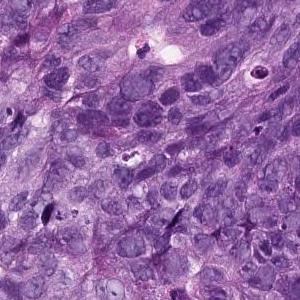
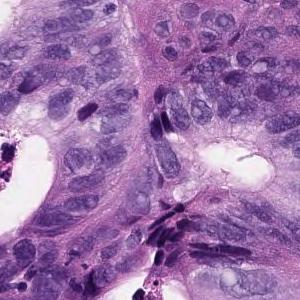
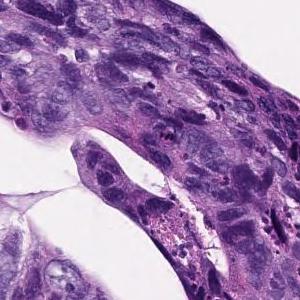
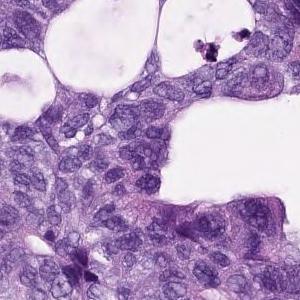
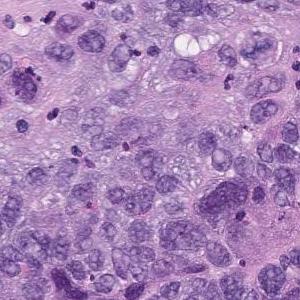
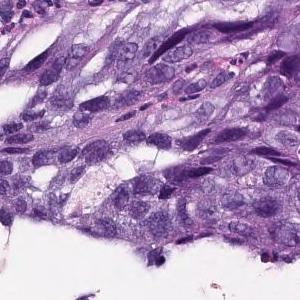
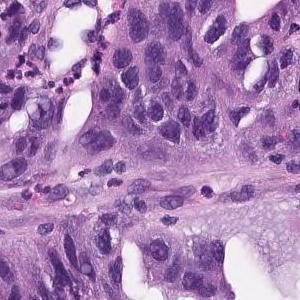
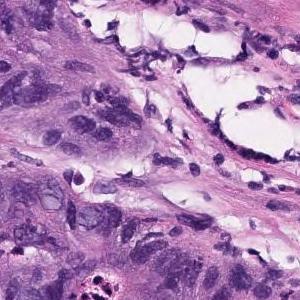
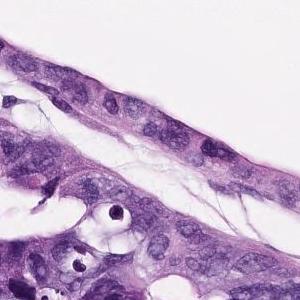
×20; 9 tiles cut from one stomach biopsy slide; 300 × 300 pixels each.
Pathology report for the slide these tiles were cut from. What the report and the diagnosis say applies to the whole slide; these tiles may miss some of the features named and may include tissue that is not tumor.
In the superficial epithelium, tumor tissue that invades by forming medium-sized to small, irregular ducts is observed. Moderately differentiated adenocarcinoma.
Histologic type: Moderately differentiated tubular adenocarcinoma.
